H&E stain; 11 tiles cut from one stomach biopsy slide.
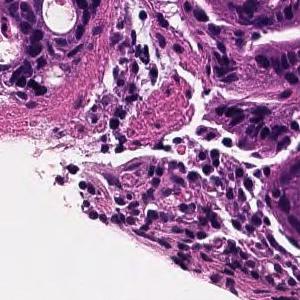
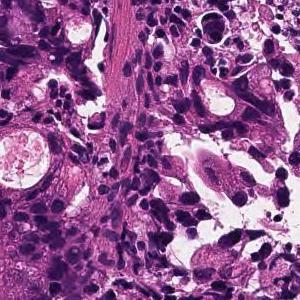
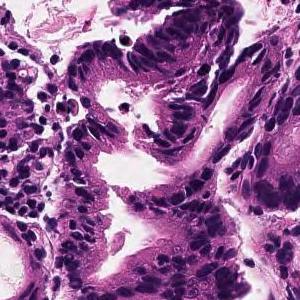
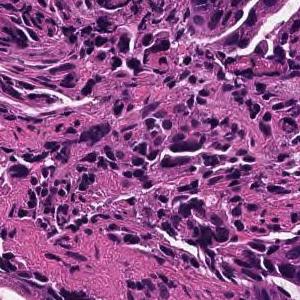
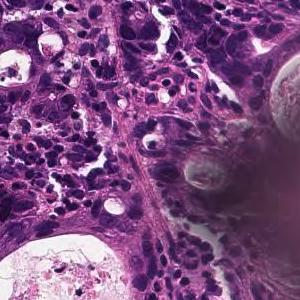
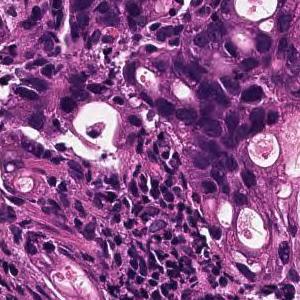
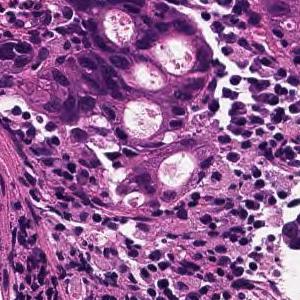
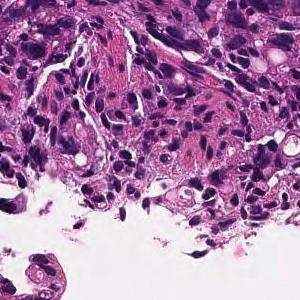
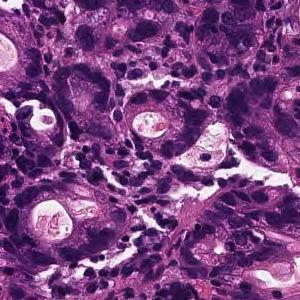
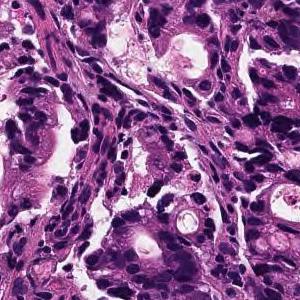
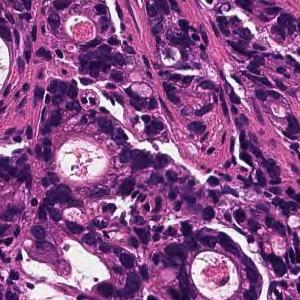
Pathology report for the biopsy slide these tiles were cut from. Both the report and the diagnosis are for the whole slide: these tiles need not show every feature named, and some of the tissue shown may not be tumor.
In the superficial epithelium, tumor tissue that invades by forming medium-sized to small, irregular ducts is observed. moderately differentiated tubular adenocarcinoma.
